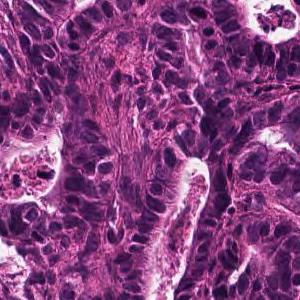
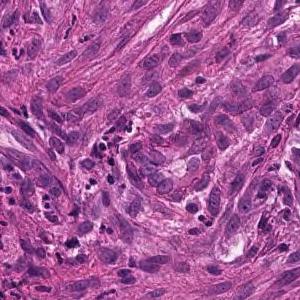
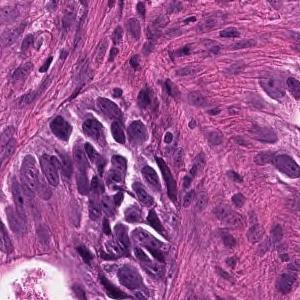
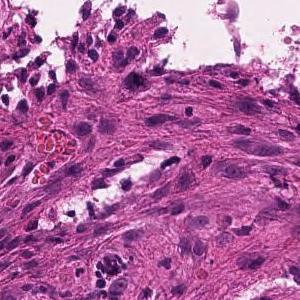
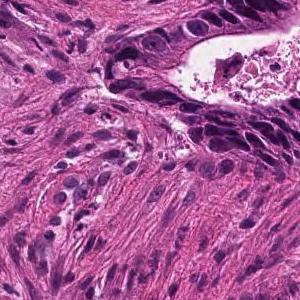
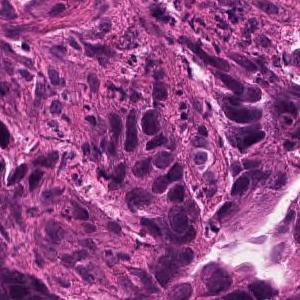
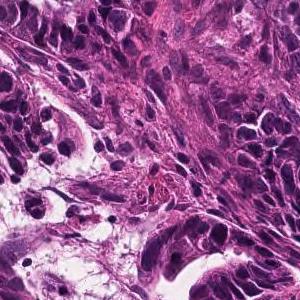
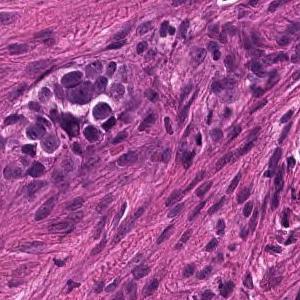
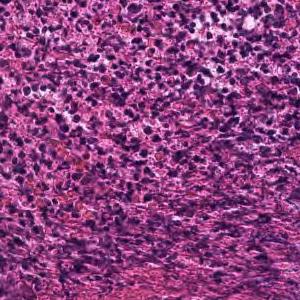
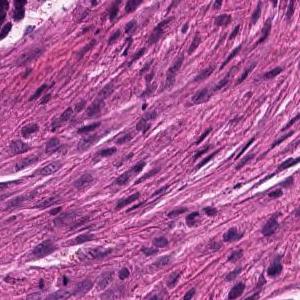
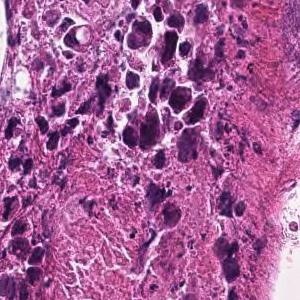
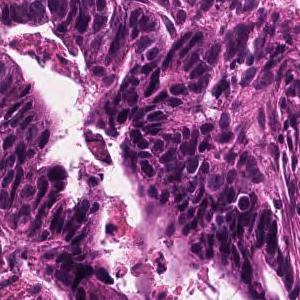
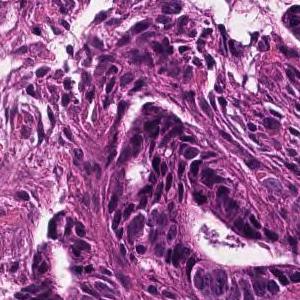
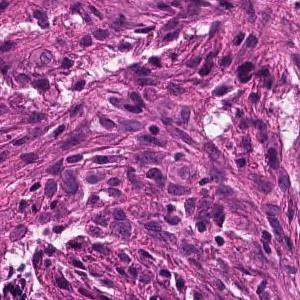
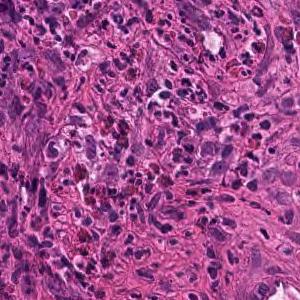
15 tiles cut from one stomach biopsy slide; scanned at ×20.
Diagnostic report for the slide these tiles come from. The report and the diagnosis describe the slide as a whole, so these tiles may not show every feature named and may include non-tumor tissue.
In the superficial epithelium, tumor tissue that invades by forming medium-sized to small, irregular ducts is observed. moderately differentiated tubular adenocarcinoma.
